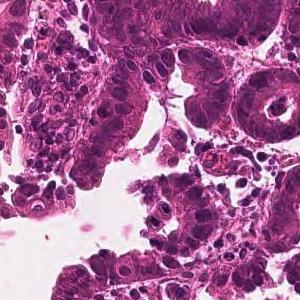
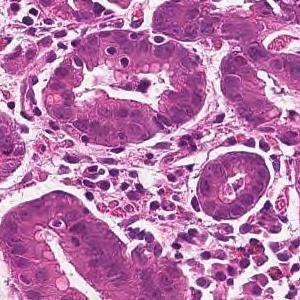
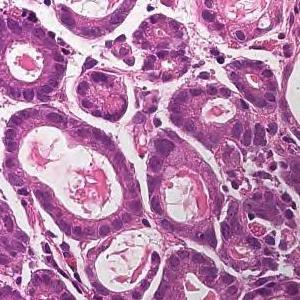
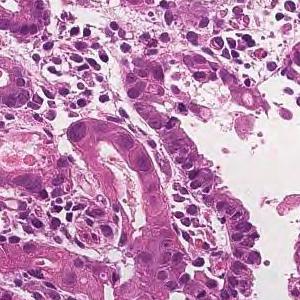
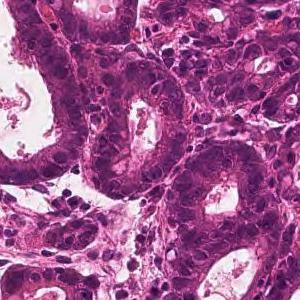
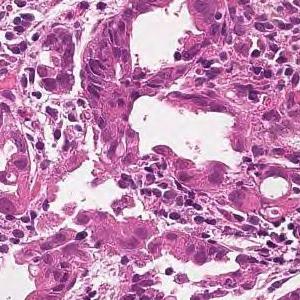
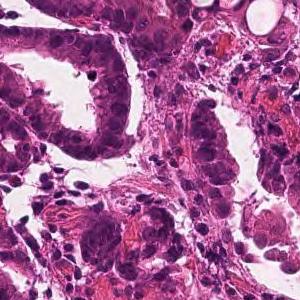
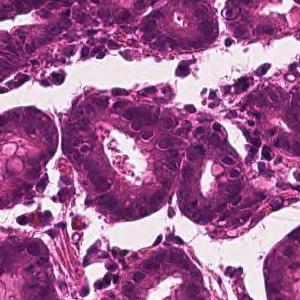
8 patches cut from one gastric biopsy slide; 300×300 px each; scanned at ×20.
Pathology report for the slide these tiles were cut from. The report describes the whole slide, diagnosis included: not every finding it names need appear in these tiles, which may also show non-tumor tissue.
From the superficial epithelium to the muscularis mucosae, tumor tissue consisting of medium-sized and irregular glandular ducts infiltrating is observed. Well differentiated tubular adenocarcinoma
